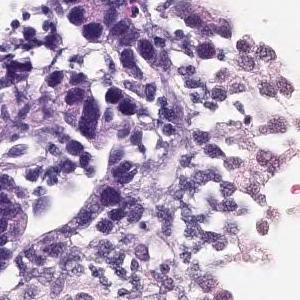
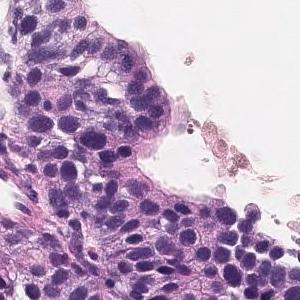
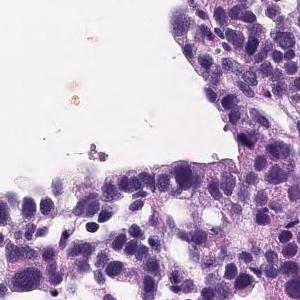
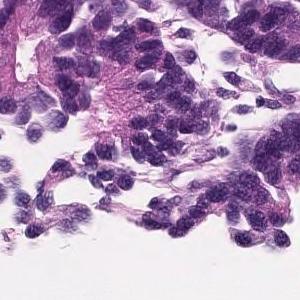
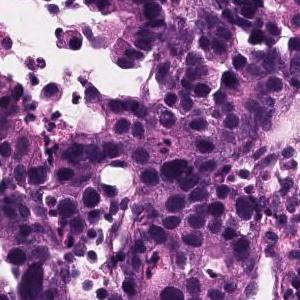
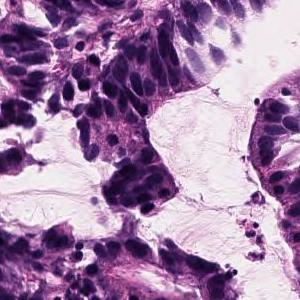
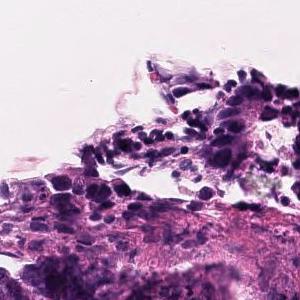
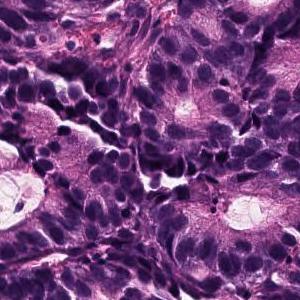
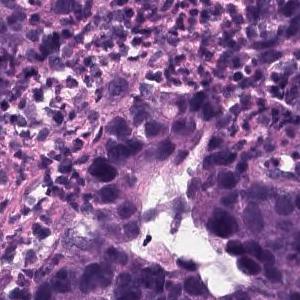
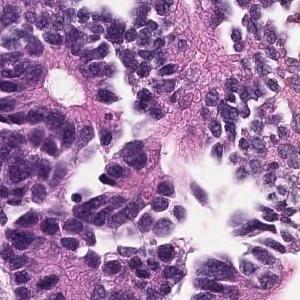
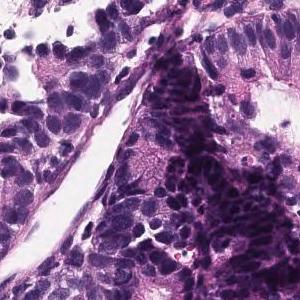
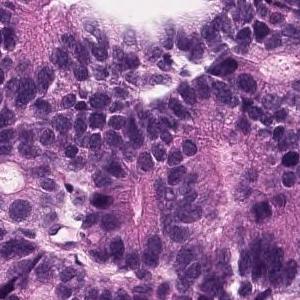
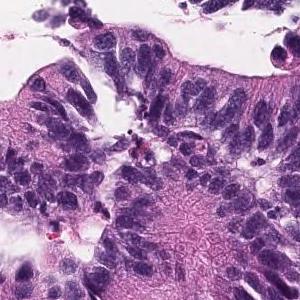
13 tiles cut from one stomach biopsy slide, ×20, hematoxylin and eosin stain.
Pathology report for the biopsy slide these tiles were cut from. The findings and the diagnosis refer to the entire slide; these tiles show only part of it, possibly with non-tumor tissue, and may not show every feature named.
In the superficial epithelium, tumor tissue that invades by forming medium-sized to small, irregular ducts is observed. moderately differentiated tubular adenocarcinoma.
